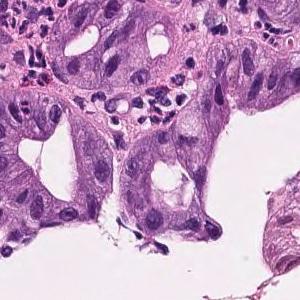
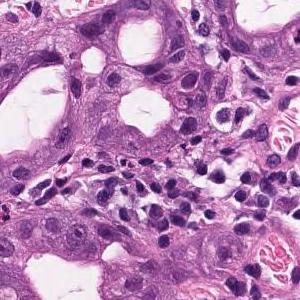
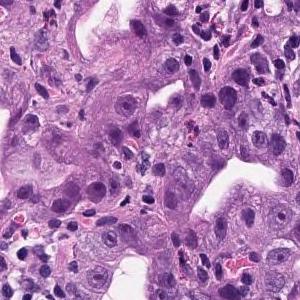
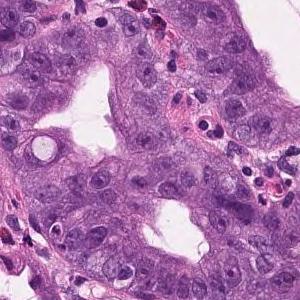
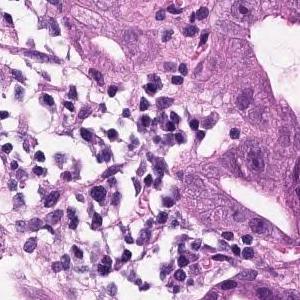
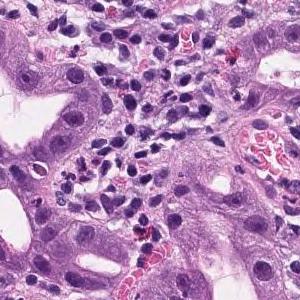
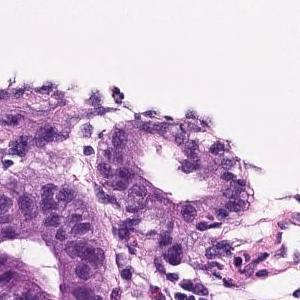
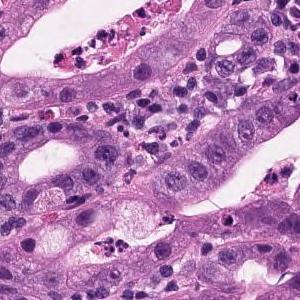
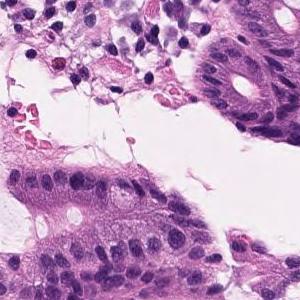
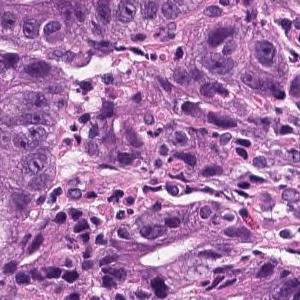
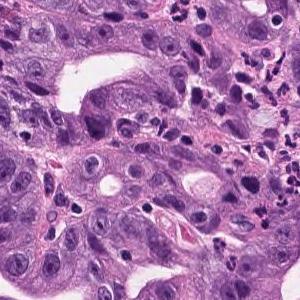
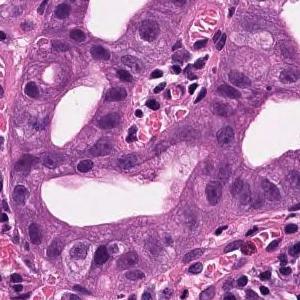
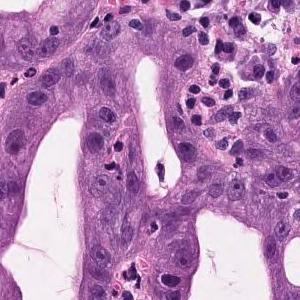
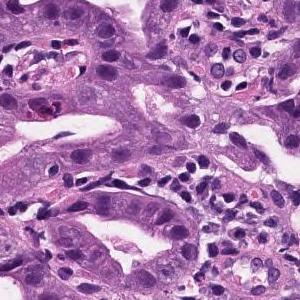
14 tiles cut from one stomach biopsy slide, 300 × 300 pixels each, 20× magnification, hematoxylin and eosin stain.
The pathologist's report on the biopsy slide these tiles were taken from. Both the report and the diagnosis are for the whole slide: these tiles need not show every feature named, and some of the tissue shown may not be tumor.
In the superficial epithelium, tumor tissue that invades by forming medium-sized to small, irregular ducts is observed. Well to moderately differentiated adenocarcinoma (well differentiated tubular adenocarcinoma, moderately differentiated tubular adenocarcinoma).
Classified as well to moderately differentiated tubular adenocarcinoma.
